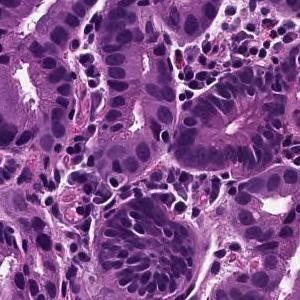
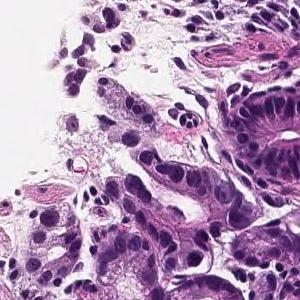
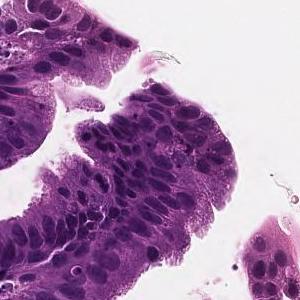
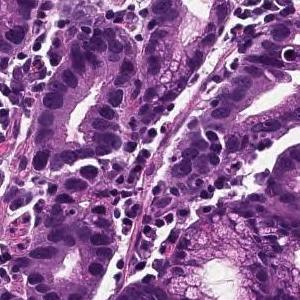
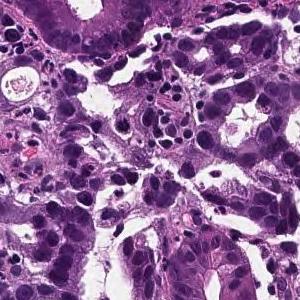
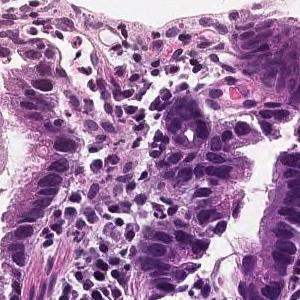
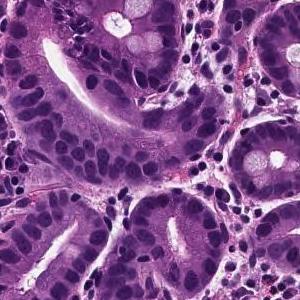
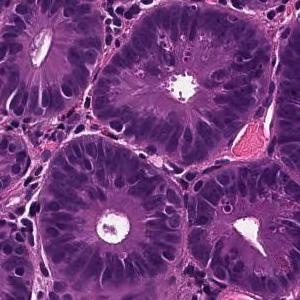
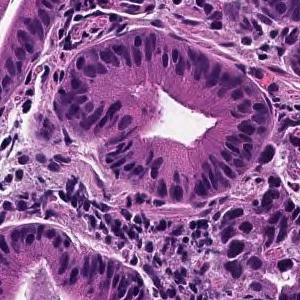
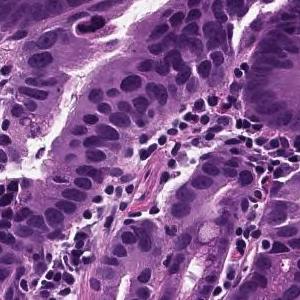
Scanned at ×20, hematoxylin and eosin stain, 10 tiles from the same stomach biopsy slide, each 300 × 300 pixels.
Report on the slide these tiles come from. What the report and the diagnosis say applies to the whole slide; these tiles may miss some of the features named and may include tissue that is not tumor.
From the superficial epithelium to the muscularis mucosae, tumor tissue consisting of medium-sized and irregular glandular ducts infiltrating is observed. Well differentiated tubular adenocarcinoma
